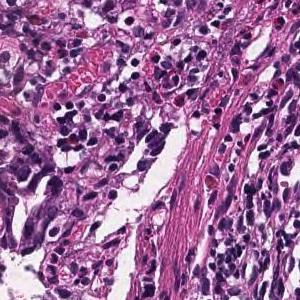
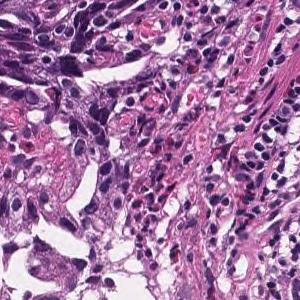
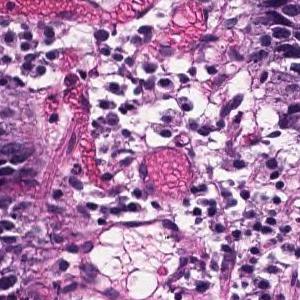
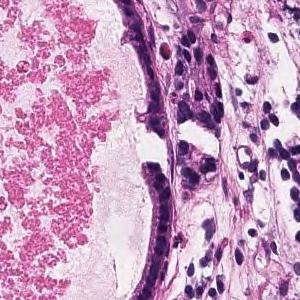
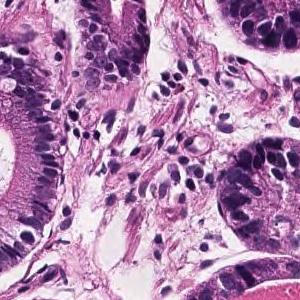
Hematoxylin and eosin stain · 5 patches cut from one gastric biopsy slide.
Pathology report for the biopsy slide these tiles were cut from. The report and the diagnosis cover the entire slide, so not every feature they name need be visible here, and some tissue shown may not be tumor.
Tumor tissue consisting of medium-sized and irregular ducts is observed infiltrating in the superficial epithelium. Tumor cells are highly columnar, with nuclei aligned basolaterally and polarized. Well differentiated tubular adenocarcinoma.
